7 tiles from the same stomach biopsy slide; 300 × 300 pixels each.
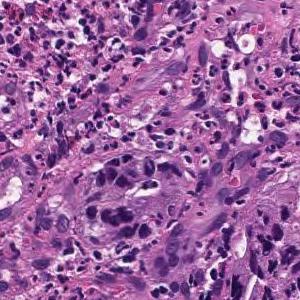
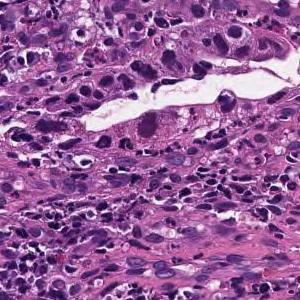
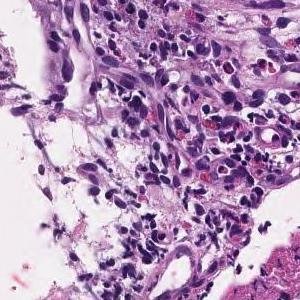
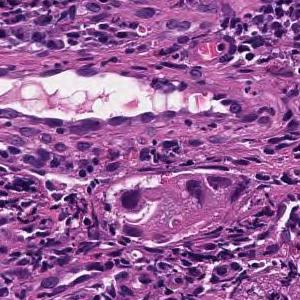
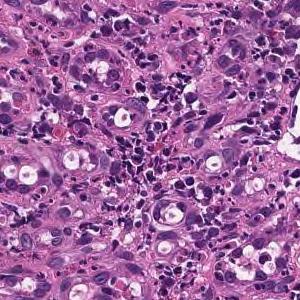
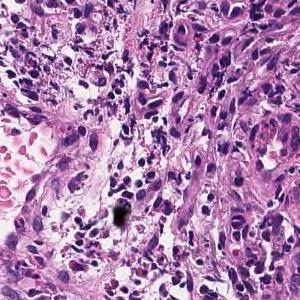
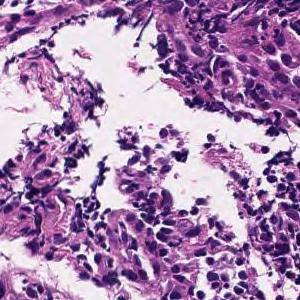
The pathologist's report on the biopsy slide these tiles were taken from. The report describes the whole slide, diagnosis included: not every finding it names need appear in these tiles, which may also show non-tumor tissue.
In the superficial epithelium, tumor tissue that invades by forming medium-sized to small, irregular ducts is observed. moderately differentiated tubular adenocarcinoma.
